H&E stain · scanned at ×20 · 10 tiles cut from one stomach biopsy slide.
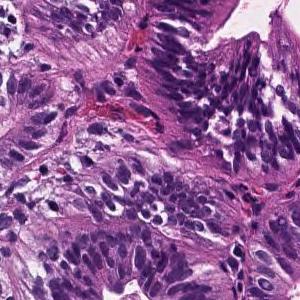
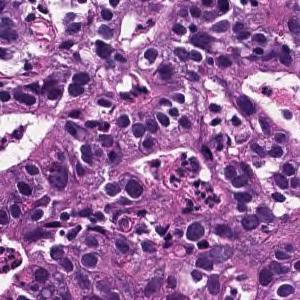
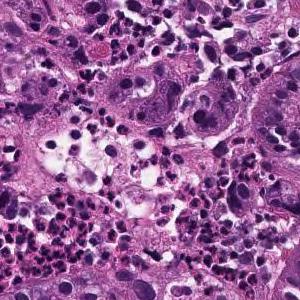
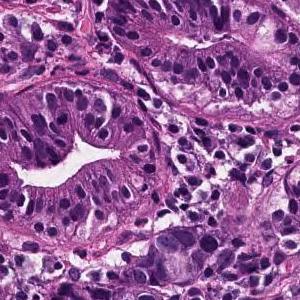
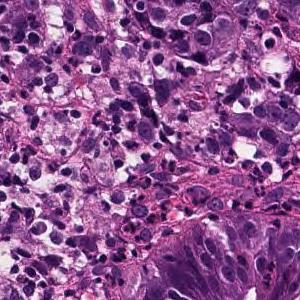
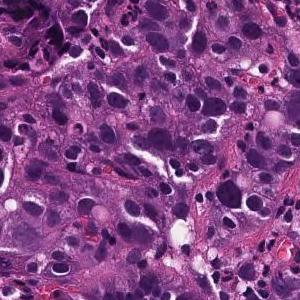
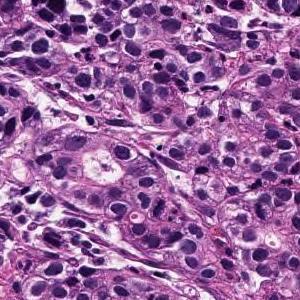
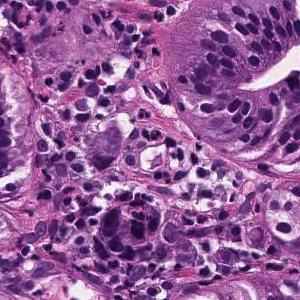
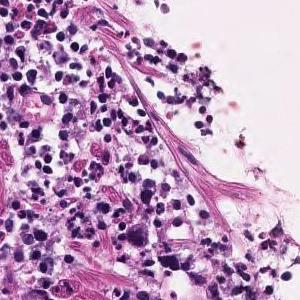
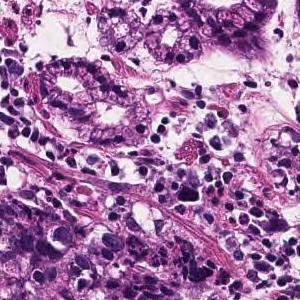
The pathologist's report on the biopsy slide these tiles were taken from. The report and the diagnosis describe the slide as a whole, so these tiles may not show every feature named and may include non-tumor tissue.
In the superficial epithelium, tumor tissue that invades by forming medium-sized to small, irregular ducts is observed. moderately differentiated tubular adenocarcinoma.
